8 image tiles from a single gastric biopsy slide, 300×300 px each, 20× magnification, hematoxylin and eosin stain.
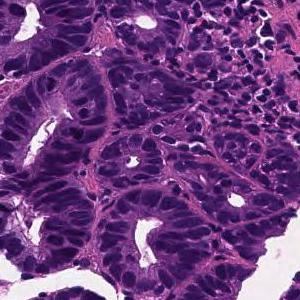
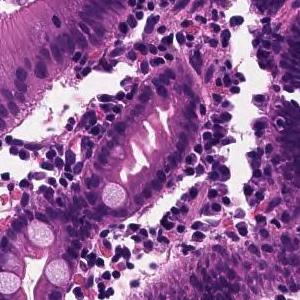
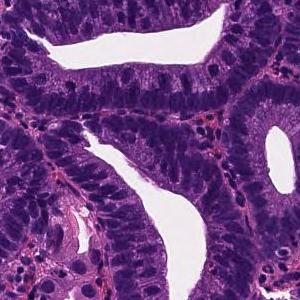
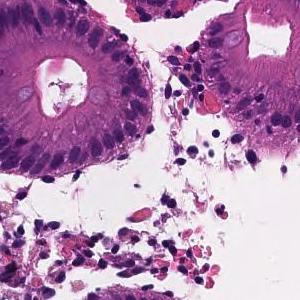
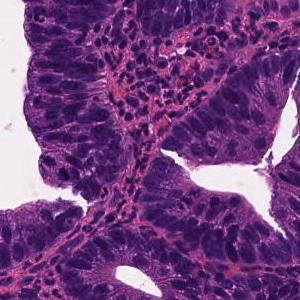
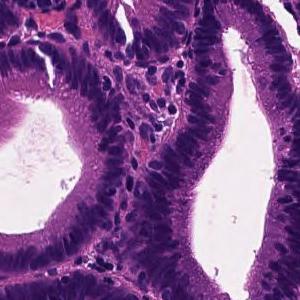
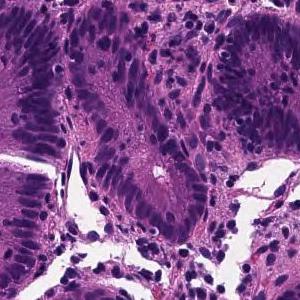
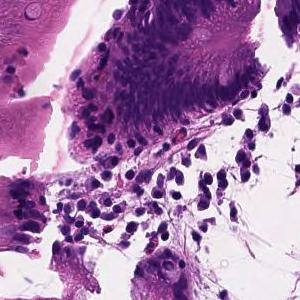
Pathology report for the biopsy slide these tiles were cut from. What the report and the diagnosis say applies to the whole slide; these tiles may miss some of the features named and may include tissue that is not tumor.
Tumor tissue in which medium to small irregular ducts infiltrate and proliferate in the submucosa can be seen in the epithelium. Well differentiated tubular adenocarcinoma
